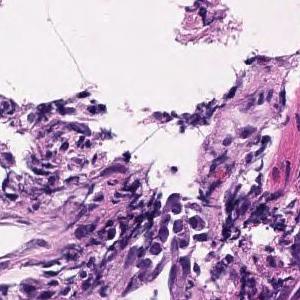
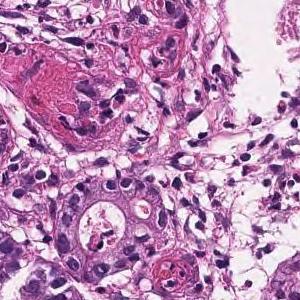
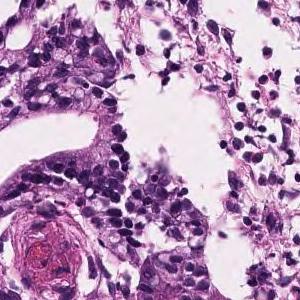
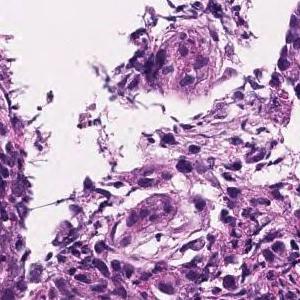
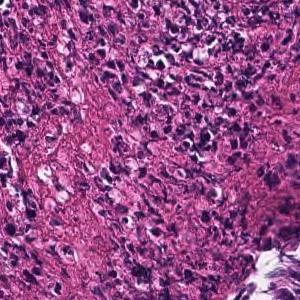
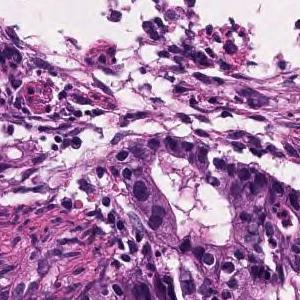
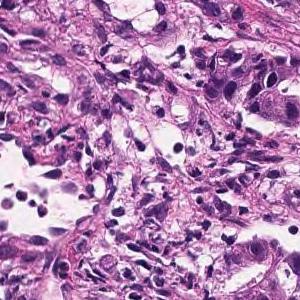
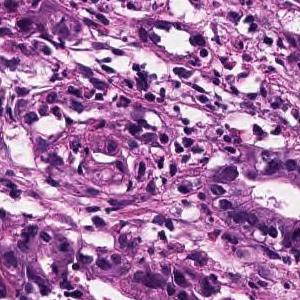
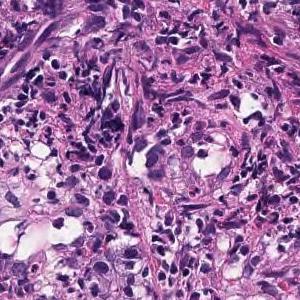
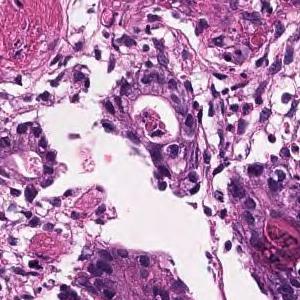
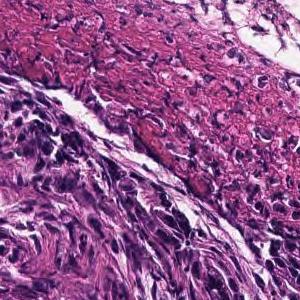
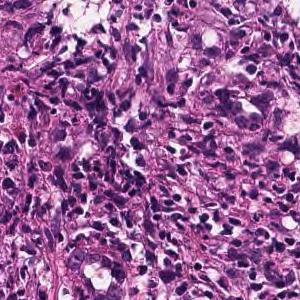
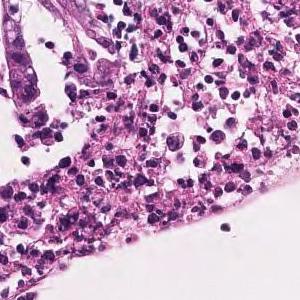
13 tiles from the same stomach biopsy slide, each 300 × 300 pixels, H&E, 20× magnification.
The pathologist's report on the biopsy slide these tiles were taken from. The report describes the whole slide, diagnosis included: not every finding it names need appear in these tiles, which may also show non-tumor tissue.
In the superficial epithelium, medium to small, irregular gland ducts are formed, and in some cases, the gland ducts are fused to show solid alveolar lesions and infiltrating tumor tissue is observed. Moderately to poorly differentiated adenocarcinoma.
